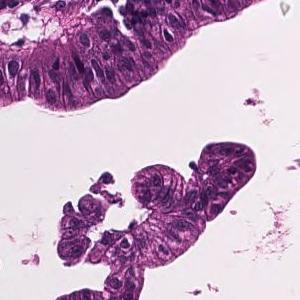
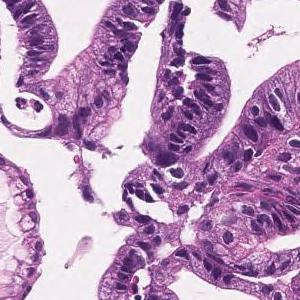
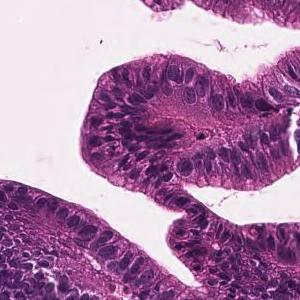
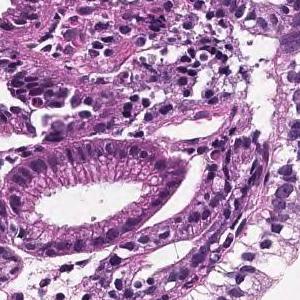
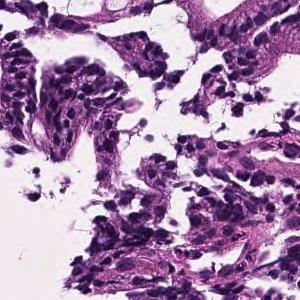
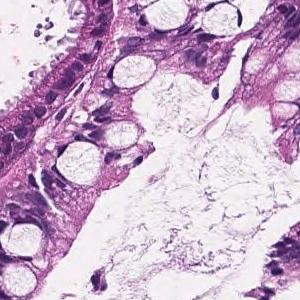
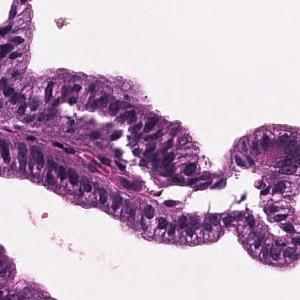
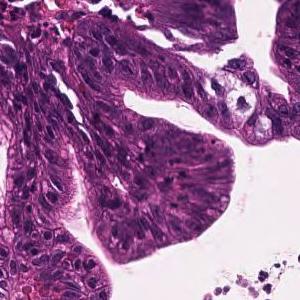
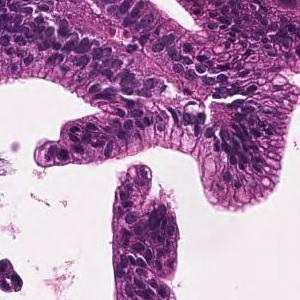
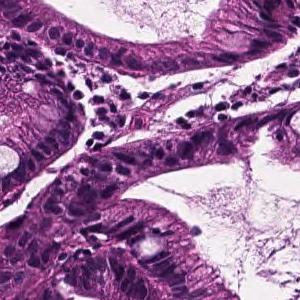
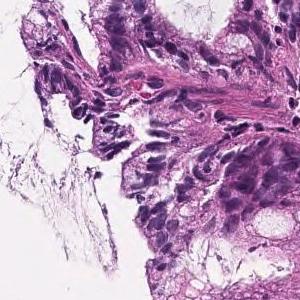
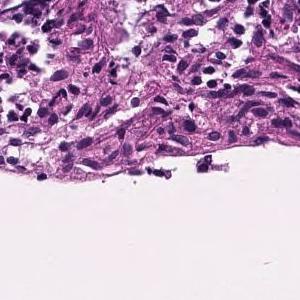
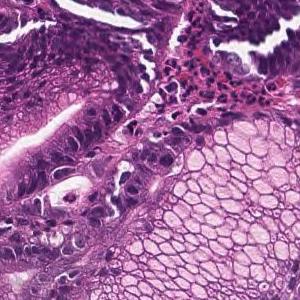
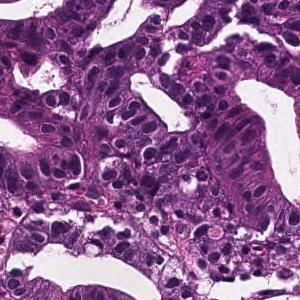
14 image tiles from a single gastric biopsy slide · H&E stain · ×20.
Diagnostic report for the slide these tiles come from. What the report and the diagnosis say applies to the whole slide; these tiles may miss some of the features named and may include tissue that is not tumor.
In the superficial epithelium, tumor tissue that invades by forming medium-sized to small, irregular ducts is observed. Well differentiated tubular adenocarcinoma.
